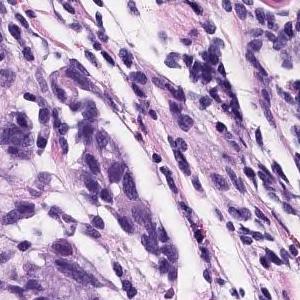
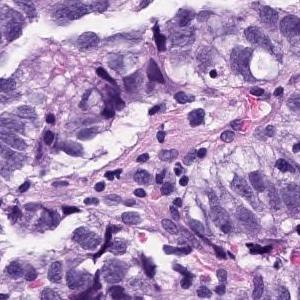
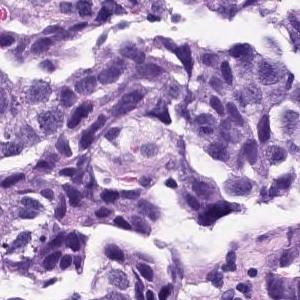
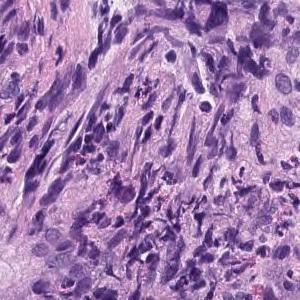
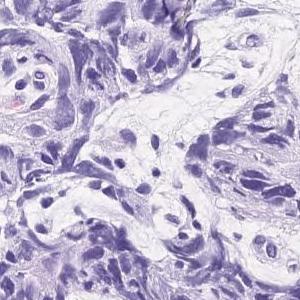
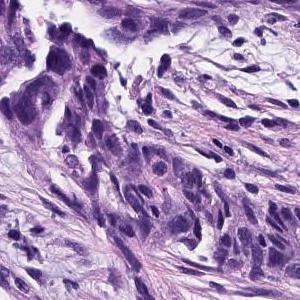
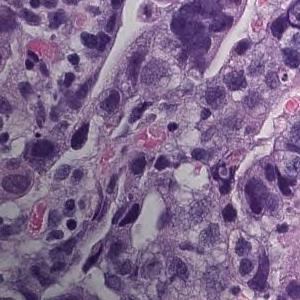
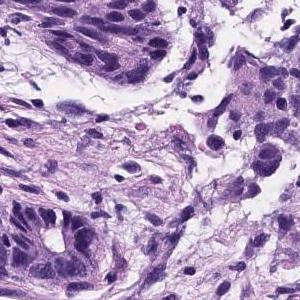
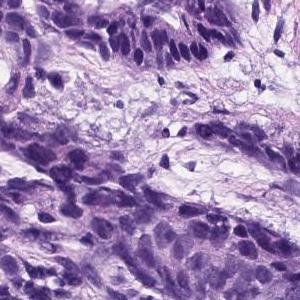
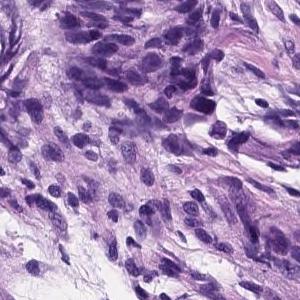
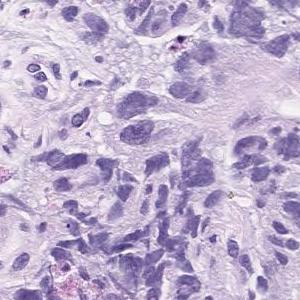
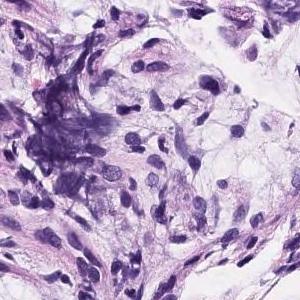
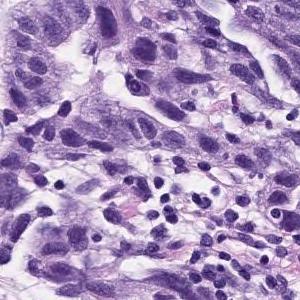
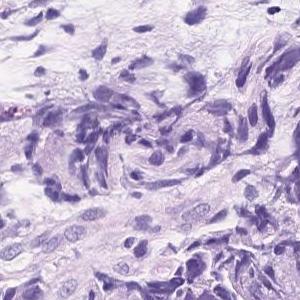
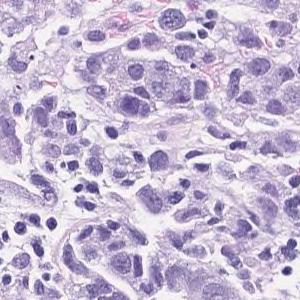
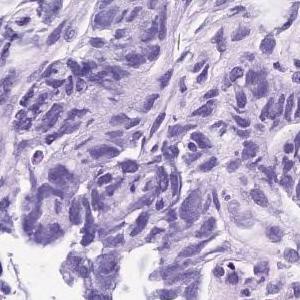
H&E stain · 16 tiles from the same stomach biopsy slide · 300 × 300 pixels each.
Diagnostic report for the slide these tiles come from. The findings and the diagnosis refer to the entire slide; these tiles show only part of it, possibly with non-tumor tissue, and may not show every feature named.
Atypical epithelial cells with an increased N/C ratio proliferate and consist of a part that shows the formation of gland ducts and a part that shows solid growth. Poorly differentiated adenocarcinoma, solid-type
Histologic type: Poorly differentiated adenocarcinoma, solid type (Japanese Classification of Gastric Carcinoma). The WHO 2019 equivalent is tubular adenocarcinoma, poorly differentiated.
